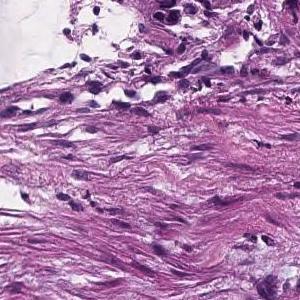
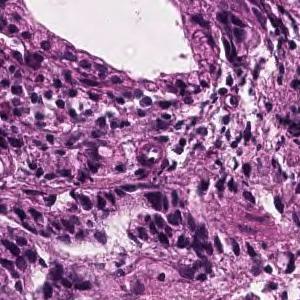
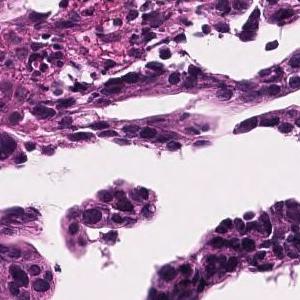
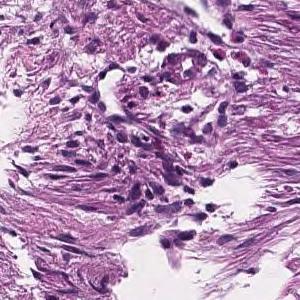
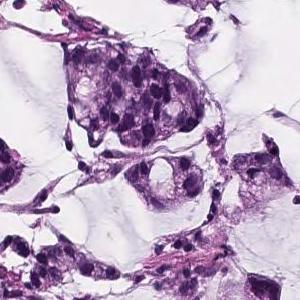
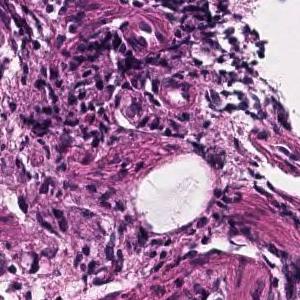
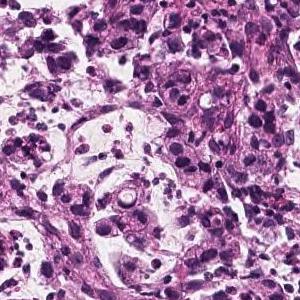
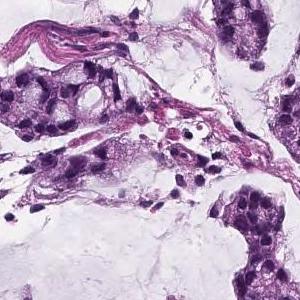
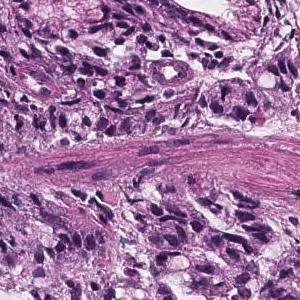
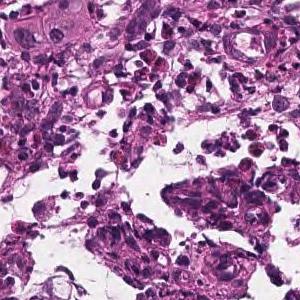
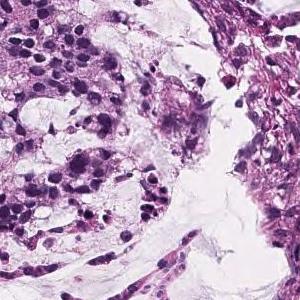
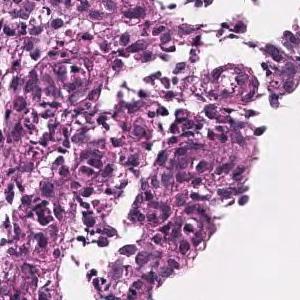
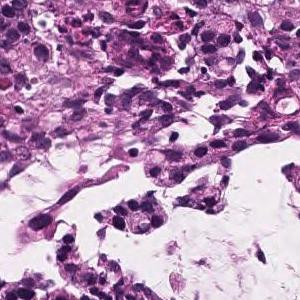
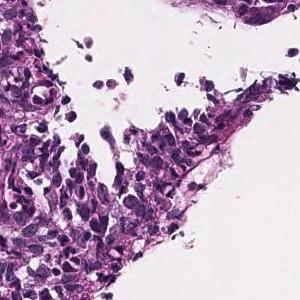
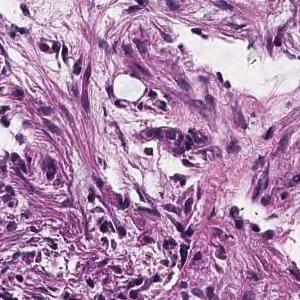
H&E stain, scanned at ×20, 15 tiles from the same stomach biopsy slide, 300 × 300 pixels each.
Pathology report for the biopsy slide these tiles were cut from. The report and the diagnosis describe the slide as a whole, so these tiles may not show every feature named and may include non-tumor tissue.
Atypical epithelial cells form obscure ductal structures or small solid follicles, and tumor tissue that proliferates invasively with proliferation of inflammatory granulation tissue is observed. Mucinous adenocarcinoma .
